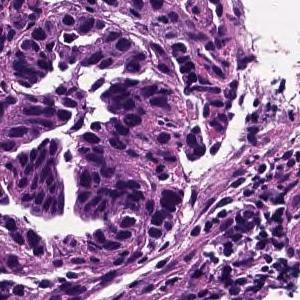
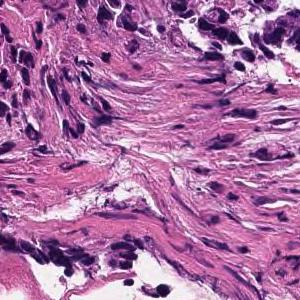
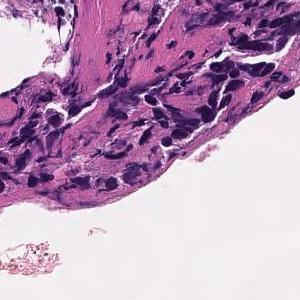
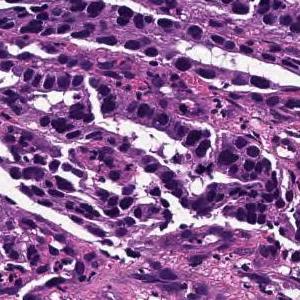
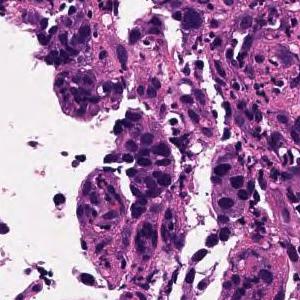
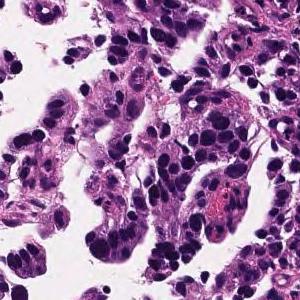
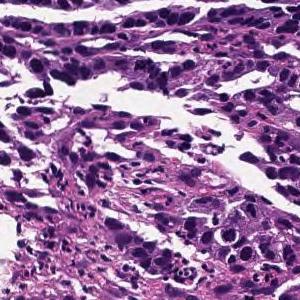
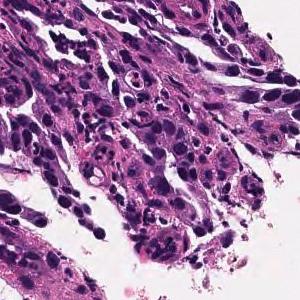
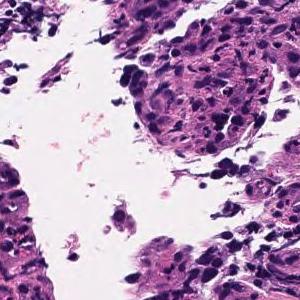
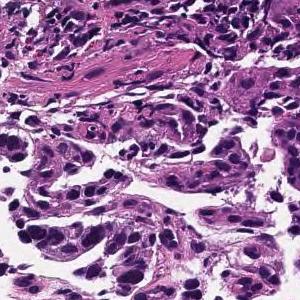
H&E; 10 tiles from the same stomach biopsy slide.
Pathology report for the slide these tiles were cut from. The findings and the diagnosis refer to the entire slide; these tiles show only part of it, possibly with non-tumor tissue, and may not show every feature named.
In the superficial epithelium, tumor tissue that invades by forming medium-sized to small, irregular ducts is observed. moderately differentiated tubular adenocarcinoma.
